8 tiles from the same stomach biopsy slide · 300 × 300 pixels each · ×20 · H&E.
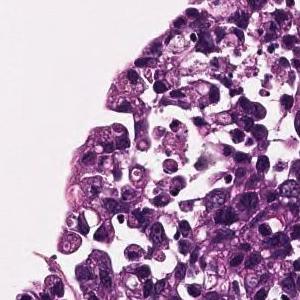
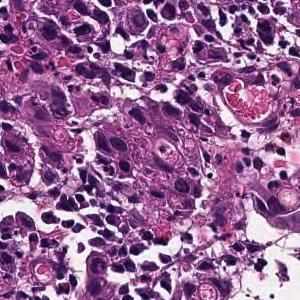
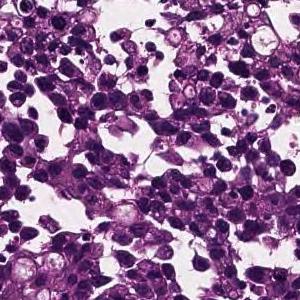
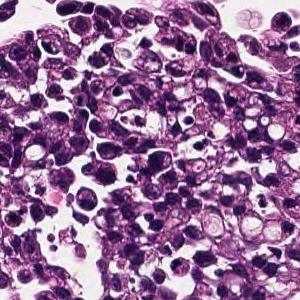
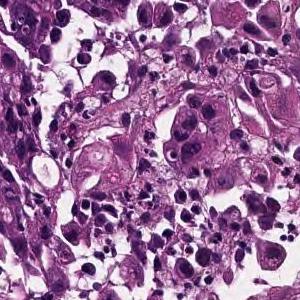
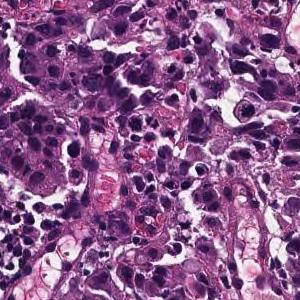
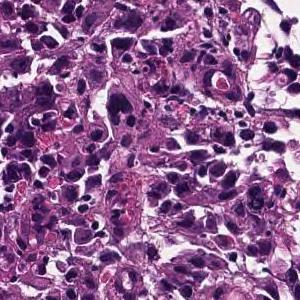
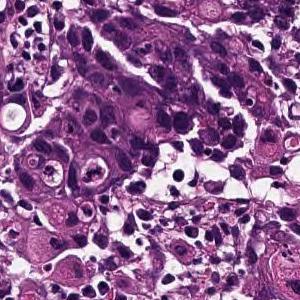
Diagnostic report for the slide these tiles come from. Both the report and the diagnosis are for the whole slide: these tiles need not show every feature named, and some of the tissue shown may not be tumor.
The superficial epithelium shows a large sheet-like shape, and some tumor tissue infiltrates with small irregular ducts. Poorly differentiated adenocarcinoma, solid-type
Subtype: Poorly differentiated adenocarcinoma, solid type, a category of the Japanese Classification of Gastric Carcinoma; in the WHO 2019 classification it is tubular adenocarcinoma, poorly differentiated.
